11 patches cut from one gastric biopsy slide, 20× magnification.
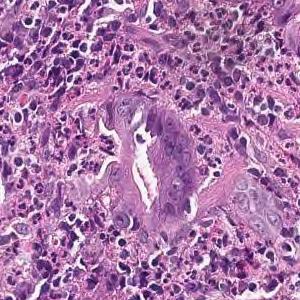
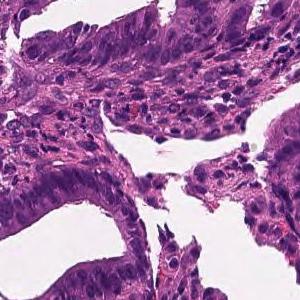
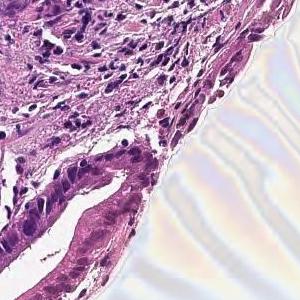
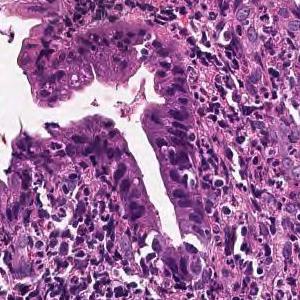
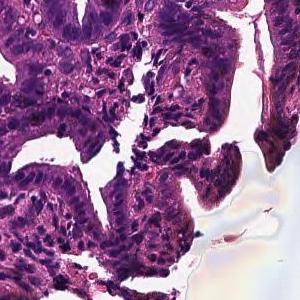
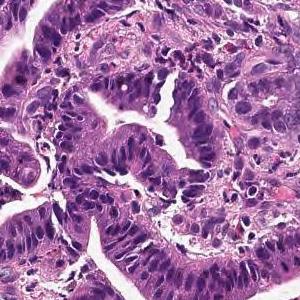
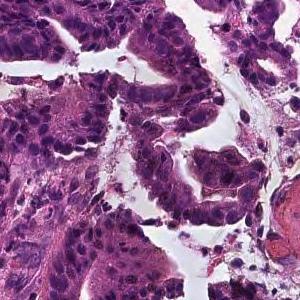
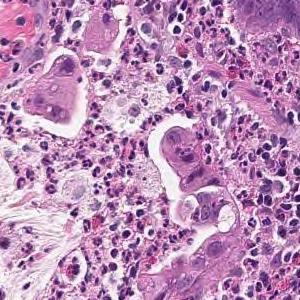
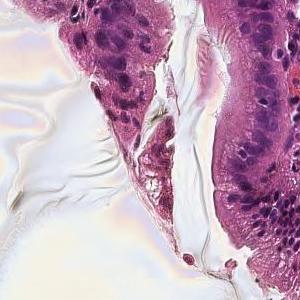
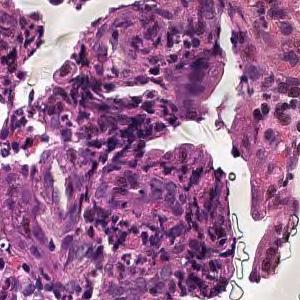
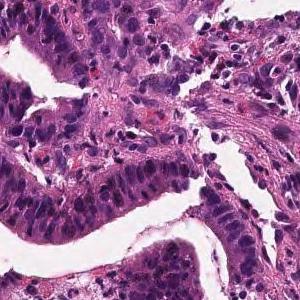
Report on the slide these tiles come from. What the report and the diagnosis say applies to the whole slide; these tiles may miss some of the features named and may include tissue that is not tumor.
From the superficial epithelium to the muscularis mucosae, tumor tissue consisting of medium-sized and irregular glandular ducts infiltrating is observed. Well differentiated tubular adenocarcinoma
